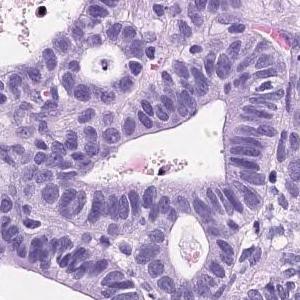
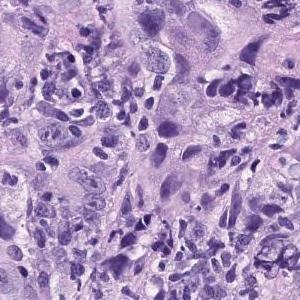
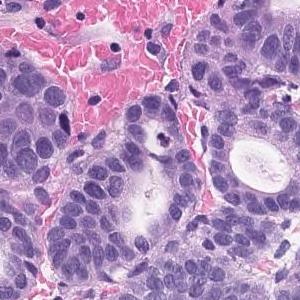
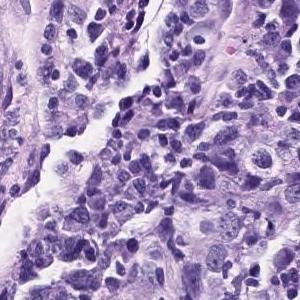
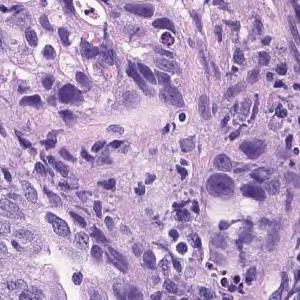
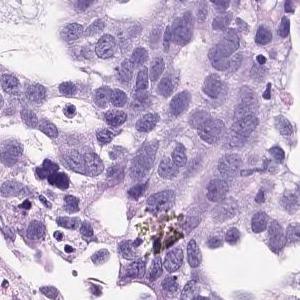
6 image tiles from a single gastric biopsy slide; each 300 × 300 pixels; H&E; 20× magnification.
Pathology report for the slide these tiles were cut from. Both the report and the diagnosis are for the whole slide: these tiles need not show every feature named, and some of the tissue shown may not be tumor.
The superficial epithelium shows a large sheet-like shape, and some tumor tissue infiltrates with small irregular ducts. Poorly differentiated adenocarcinoma, solid-type
Tumor subtype: poorly differentiated adenocarcinoma, solid type, a category of the Japanese Classification of Gastric Carcinoma; in the WHO 2019 classification it is tubular adenocarcinoma, poorly differentiated.
